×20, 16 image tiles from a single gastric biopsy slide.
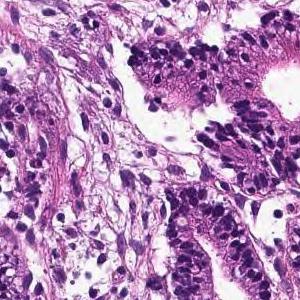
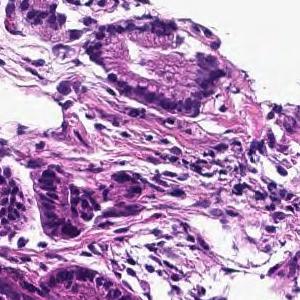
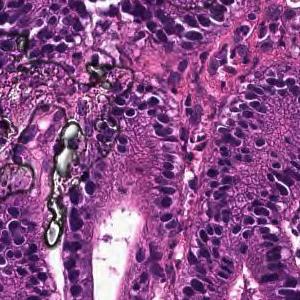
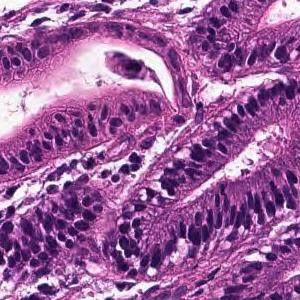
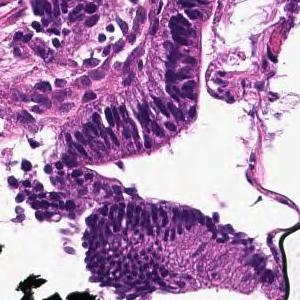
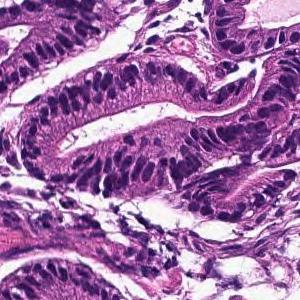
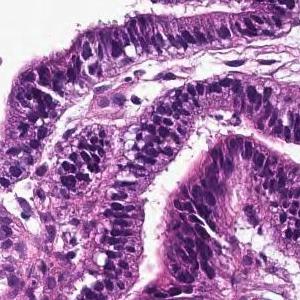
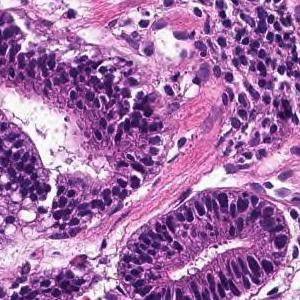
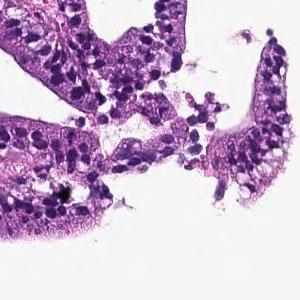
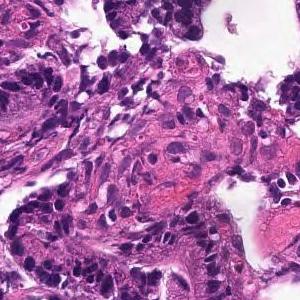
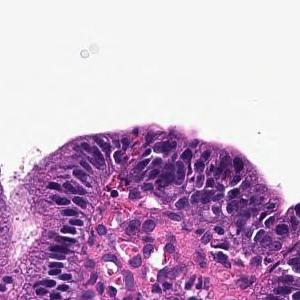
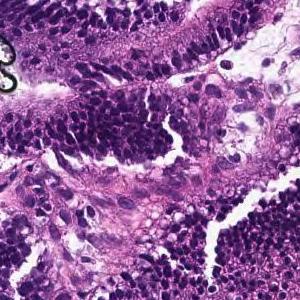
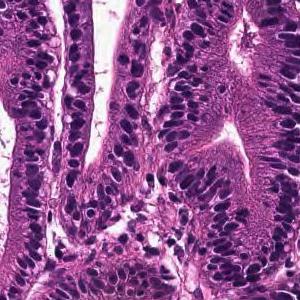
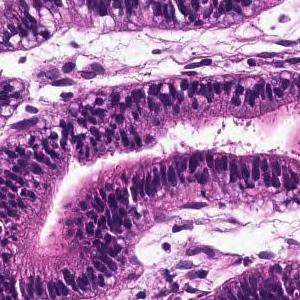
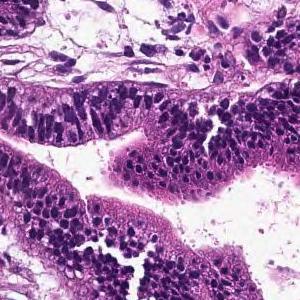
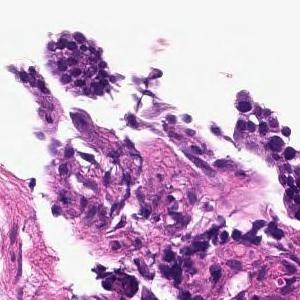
Report on the slide these tiles come from. The report and the diagnosis describe the slide as a whole, so these tiles may not show every feature named and may include non-tumor tissue.
On the superficial epithelium, tumor tissue that infiltrates by forming medium-sized round or small irregular ducts is observed. Papillary adenocarcinoma
